Scanned at ×20, 6 tiles cut from one stomach biopsy slide.
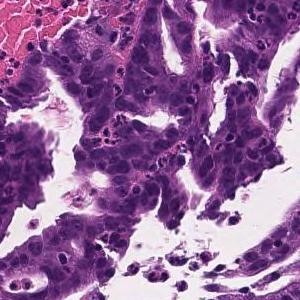
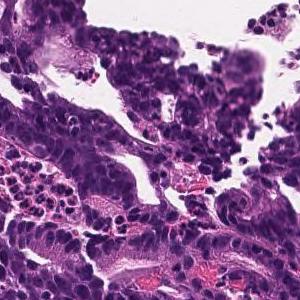
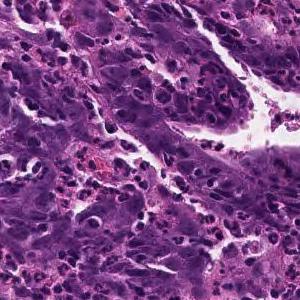
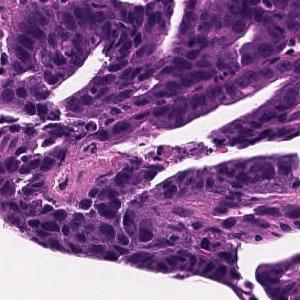
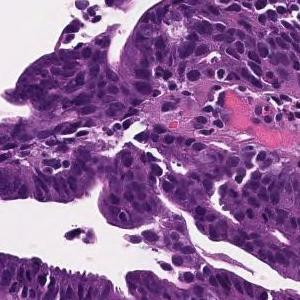
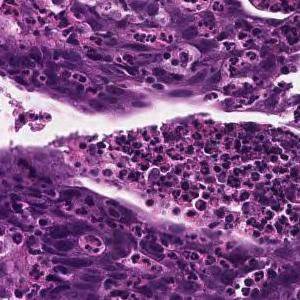
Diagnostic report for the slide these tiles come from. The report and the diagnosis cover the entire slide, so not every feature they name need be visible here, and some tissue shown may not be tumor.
Tumor cells are large, highly columnar, large club-shaped nuclei, and are associated with chromatin aggregation. Papillary adenocarcinoma.
